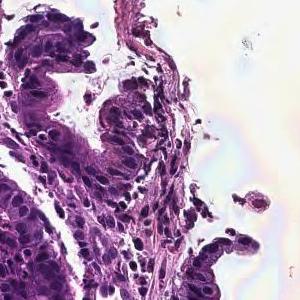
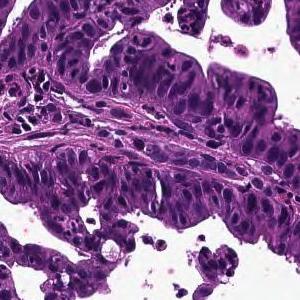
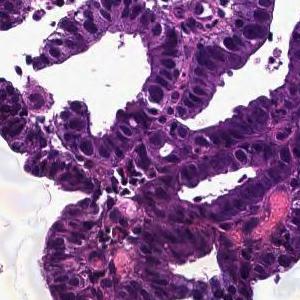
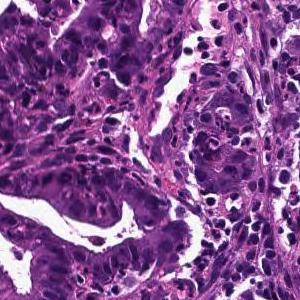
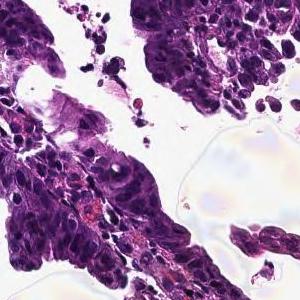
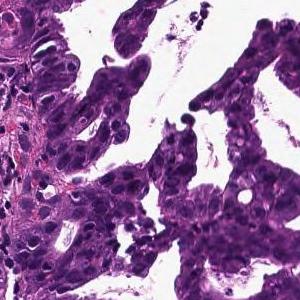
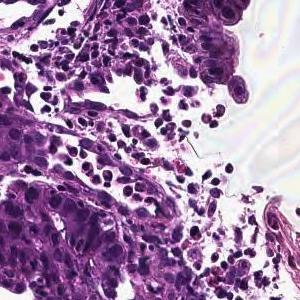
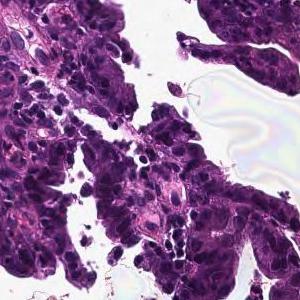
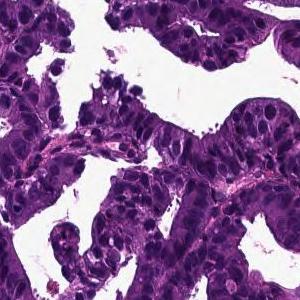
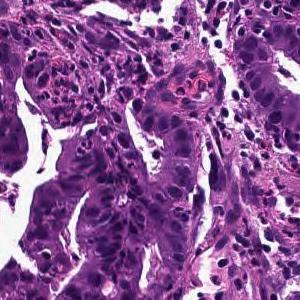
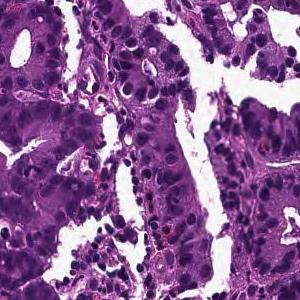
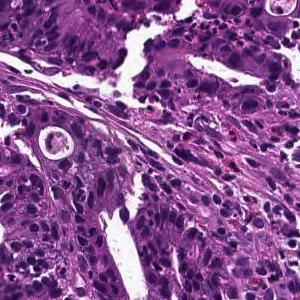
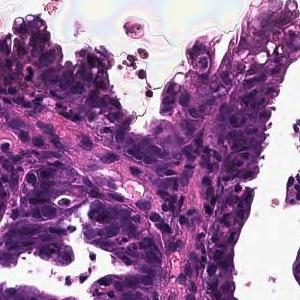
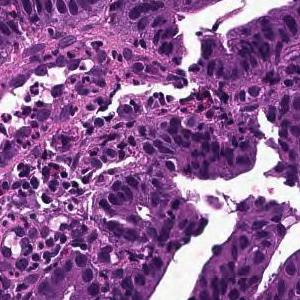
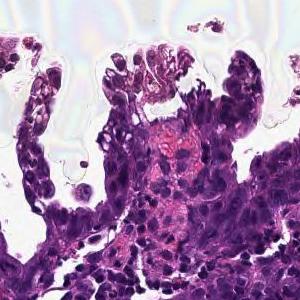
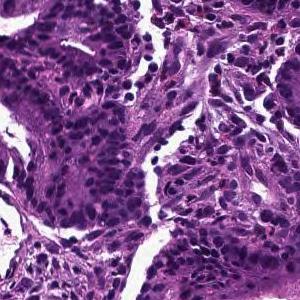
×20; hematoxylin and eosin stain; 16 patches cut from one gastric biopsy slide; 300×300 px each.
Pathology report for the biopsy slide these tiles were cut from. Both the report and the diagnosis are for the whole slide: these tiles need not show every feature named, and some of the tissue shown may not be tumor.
Tumor cells are large, highly columnar, large club-shaped nuclei, and are associated with chromatin aggregation. Papillary adenocarcinoma.
